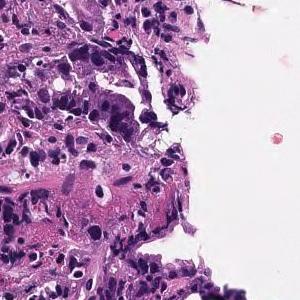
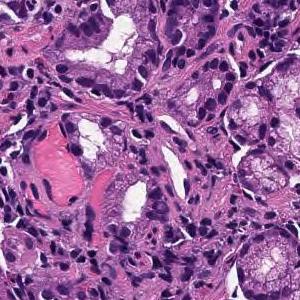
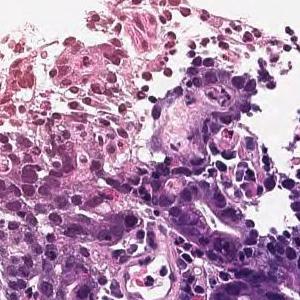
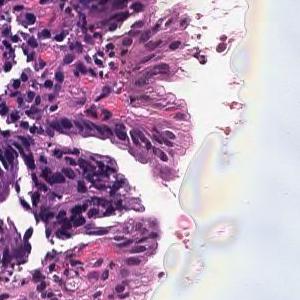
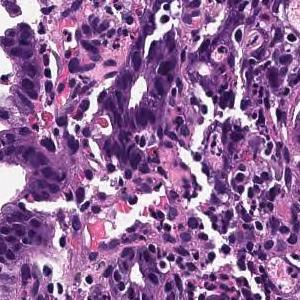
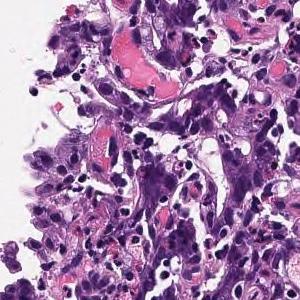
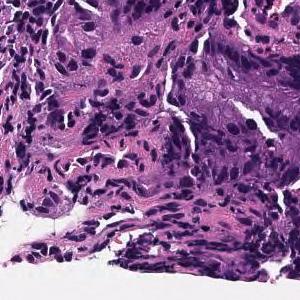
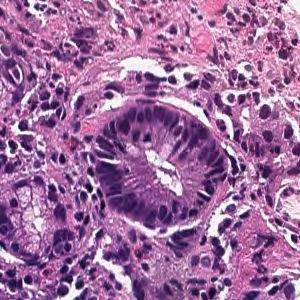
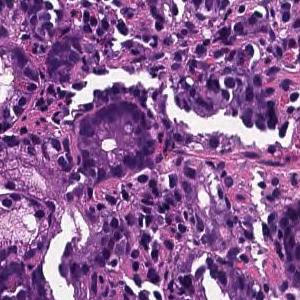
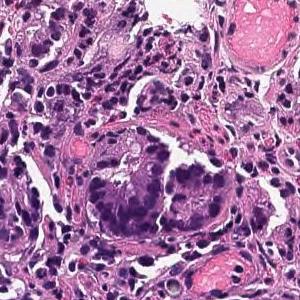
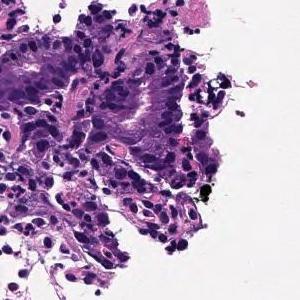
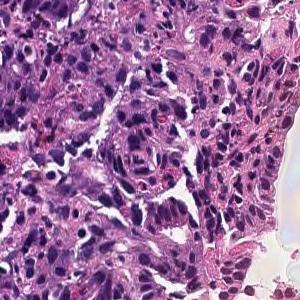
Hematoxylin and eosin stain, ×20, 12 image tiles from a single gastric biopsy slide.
The pathologist's report on the biopsy slide these tiles were taken from. The findings and the diagnosis refer to the entire slide; these tiles show only part of it, possibly with non-tumor tissue, and may not show every feature named.
In the superficial epithelium, tumor tissue that invades by forming medium-sized to small, irregular ducts is observed. moderately differentiated tubular adenocarcinoma.
